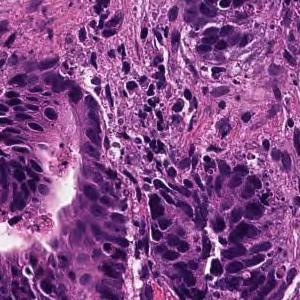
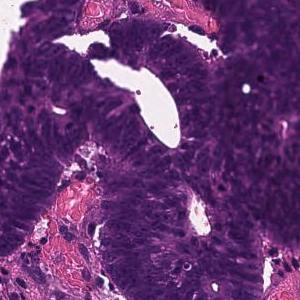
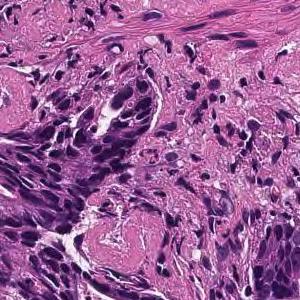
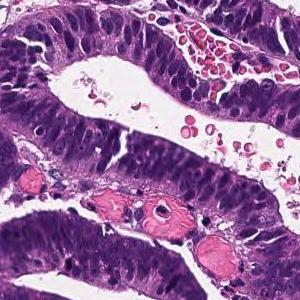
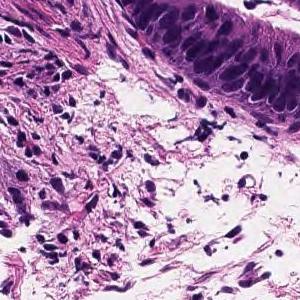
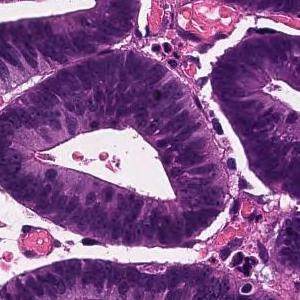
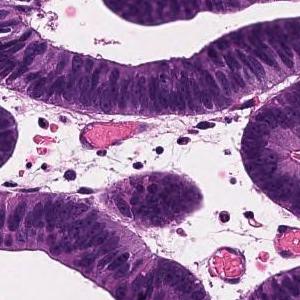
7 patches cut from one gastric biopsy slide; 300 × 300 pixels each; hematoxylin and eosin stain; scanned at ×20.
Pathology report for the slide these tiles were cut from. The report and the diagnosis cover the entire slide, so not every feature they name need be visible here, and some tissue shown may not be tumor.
Tumor tissue consisting of large papillary structures is found in the superficial epithelium. Papillary adenocarcinoma.
